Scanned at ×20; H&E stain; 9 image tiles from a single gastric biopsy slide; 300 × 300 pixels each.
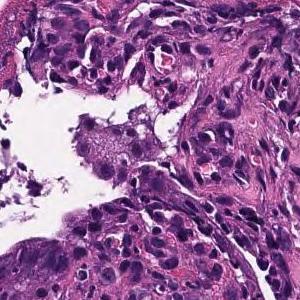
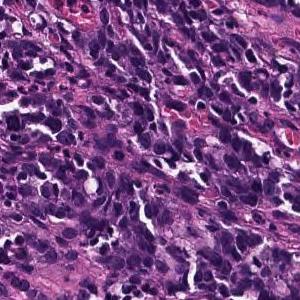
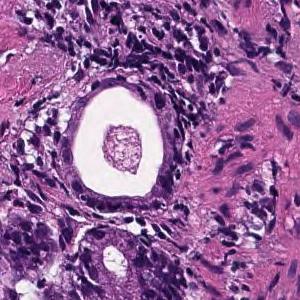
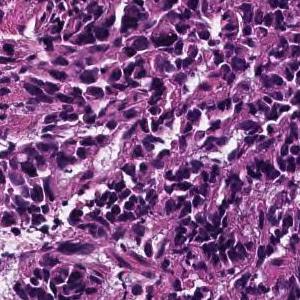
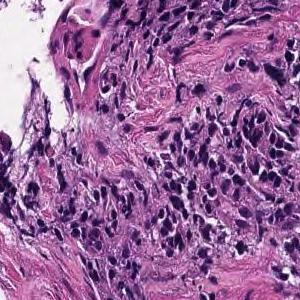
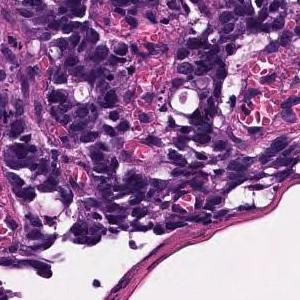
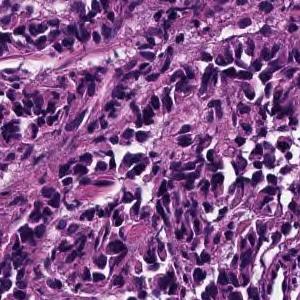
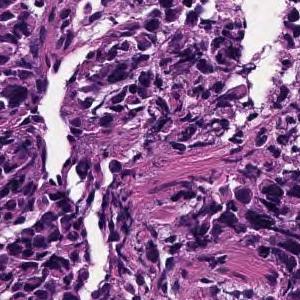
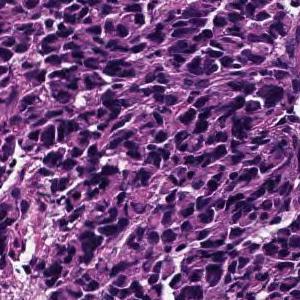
The pathologist's report on the biopsy slide these tiles were taken from. The findings and the diagnosis refer to the entire slide; these tiles show only part of it, possibly with non-tumor tissue, and may not show every feature named.
Poorly differentiated, solid adenocarcinoma (poorly differentiated adenocarcinoma, solid type) with tumor tissue diffusely infiltrated with atypical epithelial cells
Histological subtype: Poorly differentiated adenocarcinoma, solid type. This name comes from the Japanese Classification of Gastric Carcinoma; the WHO 2019 classification calls it tubular adenocarcinoma, poorly differentiated.
